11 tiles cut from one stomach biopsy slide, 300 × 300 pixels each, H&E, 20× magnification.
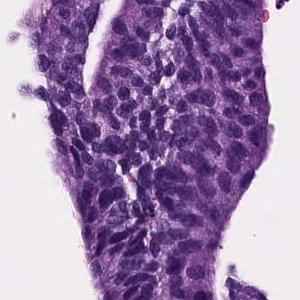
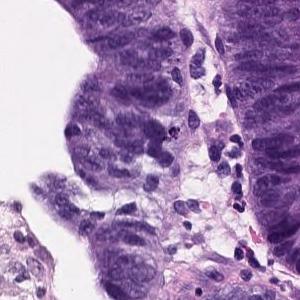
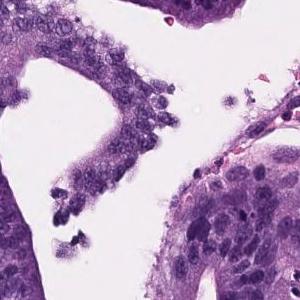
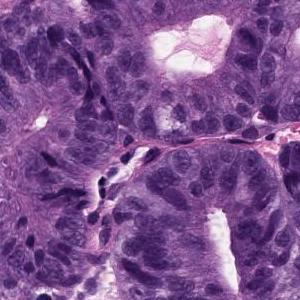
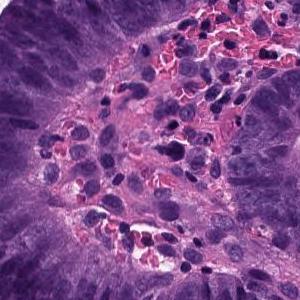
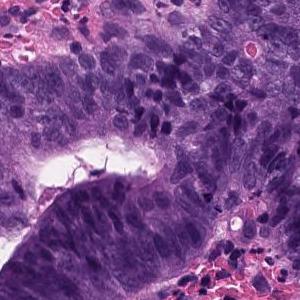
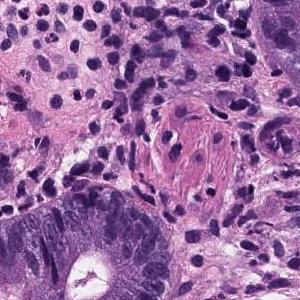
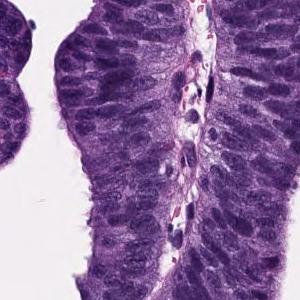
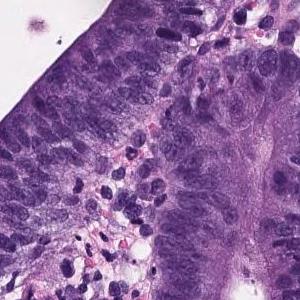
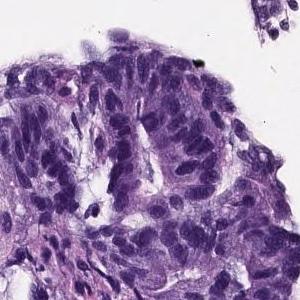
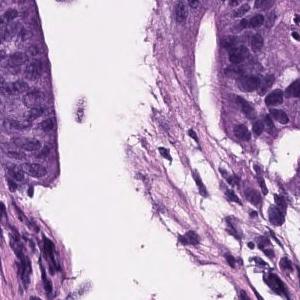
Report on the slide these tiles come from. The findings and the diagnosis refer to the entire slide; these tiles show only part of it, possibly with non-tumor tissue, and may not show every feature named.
Papillo-tubular growth of atypical tubules with nuclear swelling is observed. Well differentiated tubular adenocarcinoma
